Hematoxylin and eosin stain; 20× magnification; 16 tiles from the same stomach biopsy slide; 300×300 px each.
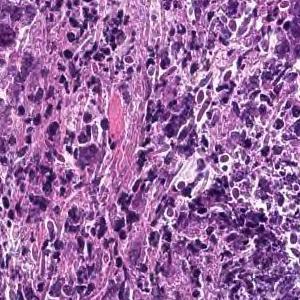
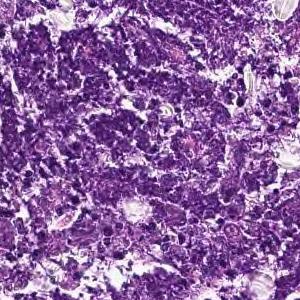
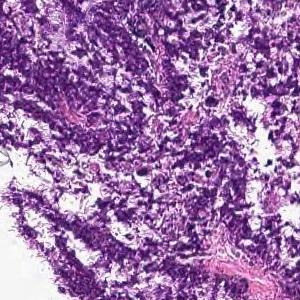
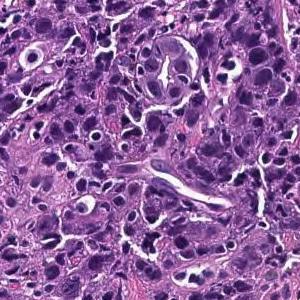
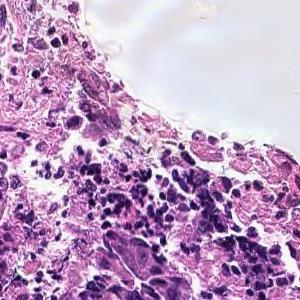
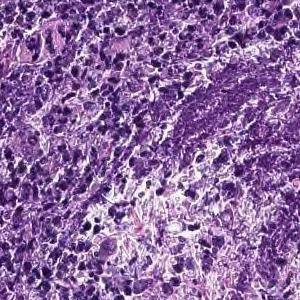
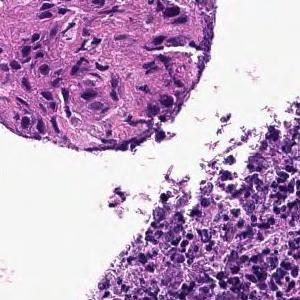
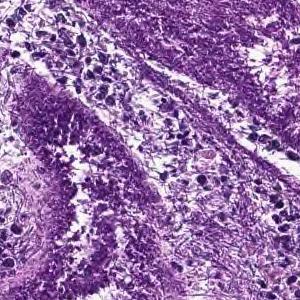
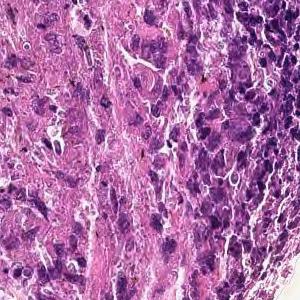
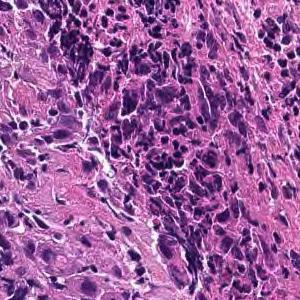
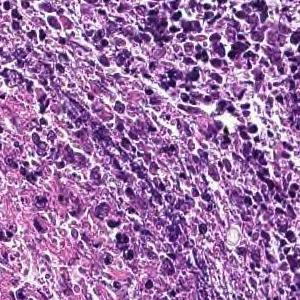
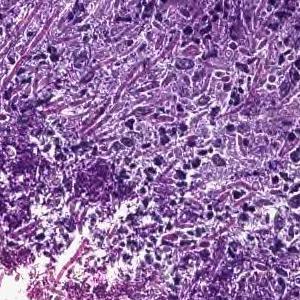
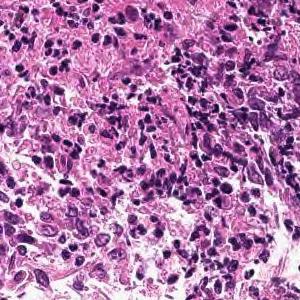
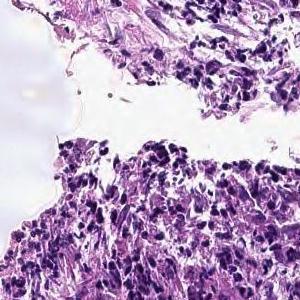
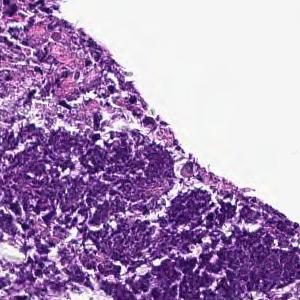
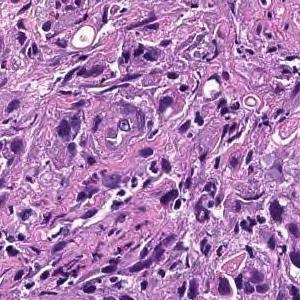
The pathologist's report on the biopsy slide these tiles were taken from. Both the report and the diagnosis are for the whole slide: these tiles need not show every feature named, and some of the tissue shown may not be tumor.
Cancers with polygonal nuclei do not show glandular formation and are densely, in part, cord-like and proliferate. Poorly differentiated adenocarcinoma
Tumor subtype: poorly differentiated adenocarcinoma, non-solid type.
"Non-solid type" is a category of the Japanese Classification of Gastric Carcinoma.
